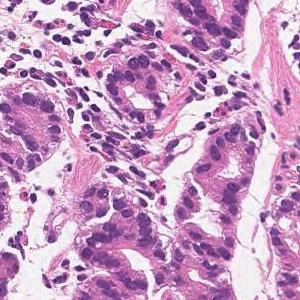
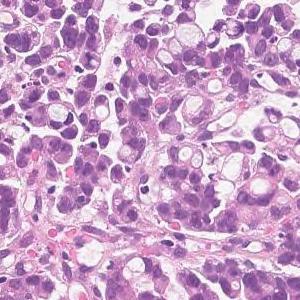
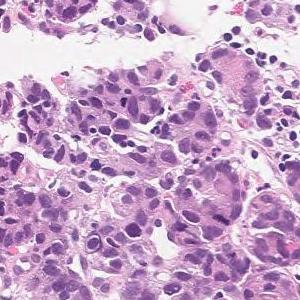
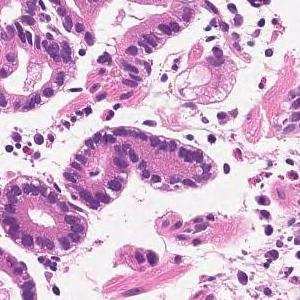
20× magnification; H&E stain; 4 image tiles from a single gastric biopsy slide.
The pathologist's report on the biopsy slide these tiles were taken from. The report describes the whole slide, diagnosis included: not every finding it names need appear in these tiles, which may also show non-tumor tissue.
Medium to small, irregular glandular ducts are formed in the superficial epithelium, and in some cases, the glandular ducts are fused to show solid alveolar lesions and infiltrating tumor tissue is observed. Moderately to poorly differentiated adenocarcinoma.
